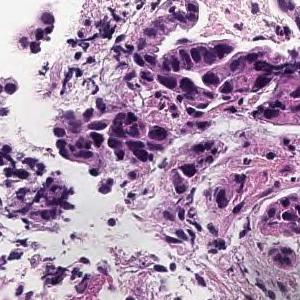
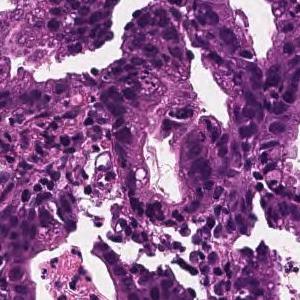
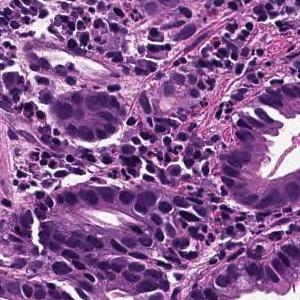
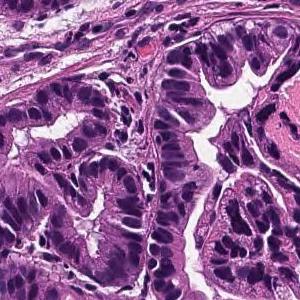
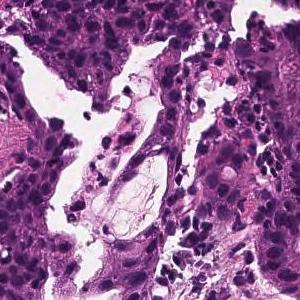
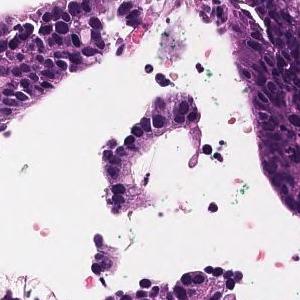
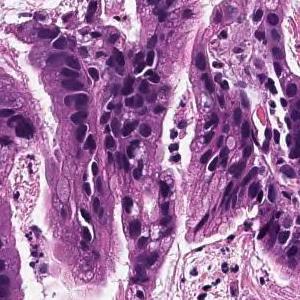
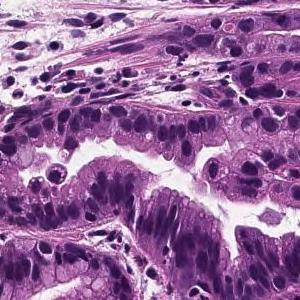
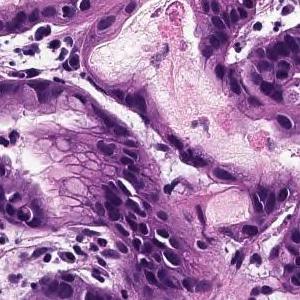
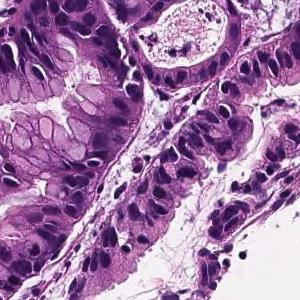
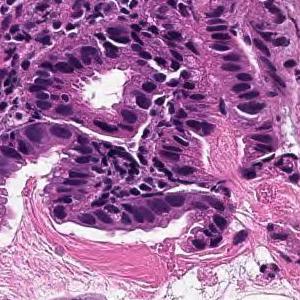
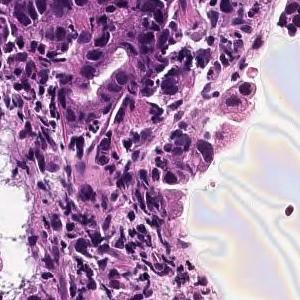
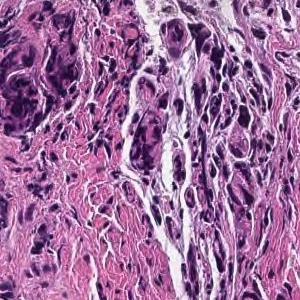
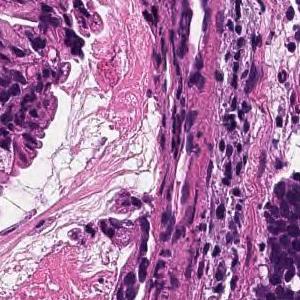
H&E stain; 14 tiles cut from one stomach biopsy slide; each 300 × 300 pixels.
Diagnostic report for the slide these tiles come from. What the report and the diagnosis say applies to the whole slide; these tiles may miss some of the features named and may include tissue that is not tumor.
Tumor cells are large, highly columnar, large club-shaped nuclei, and are associated with chromatin aggregation. Papillary adenocarcinoma.
